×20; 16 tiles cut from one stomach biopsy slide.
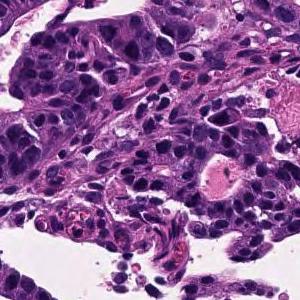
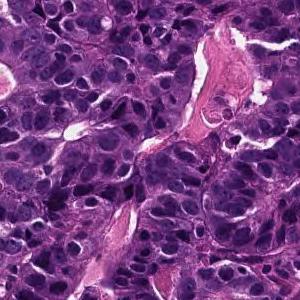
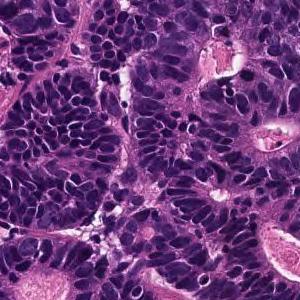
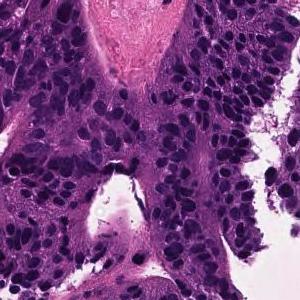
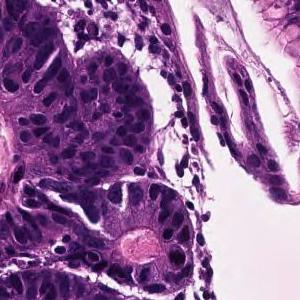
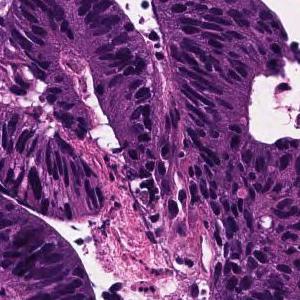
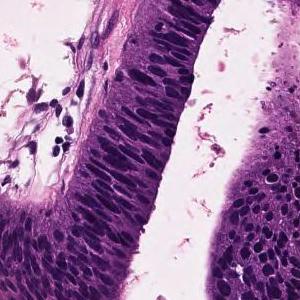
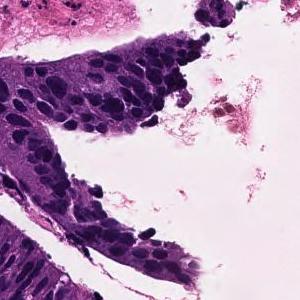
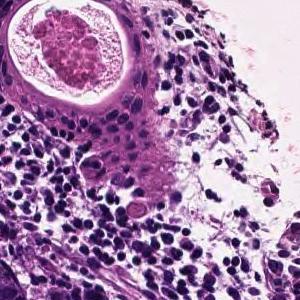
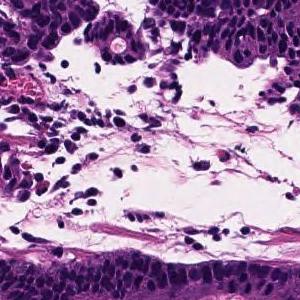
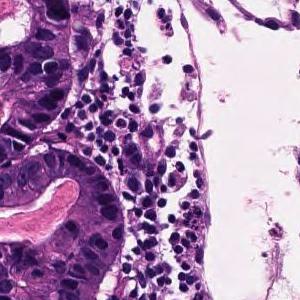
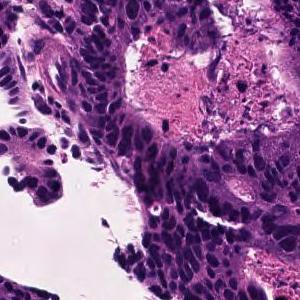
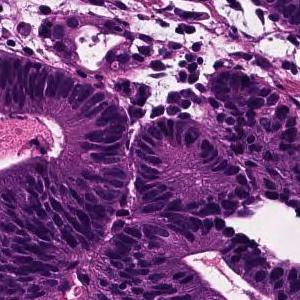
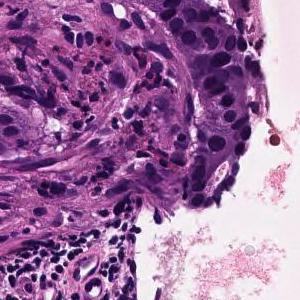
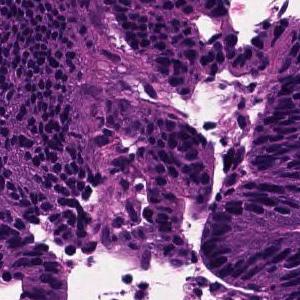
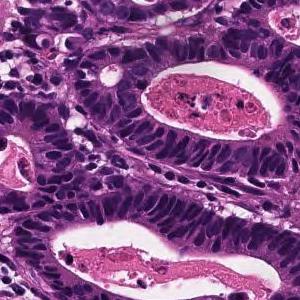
Diagnostic report for the slide these tiles come from. What the report and the diagnosis say applies to the whole slide; these tiles may miss some of the features named and may include tissue that is not tumor.
In the superficial epithelium, tumor tissue that invades by forming medium-sized to small, irregular ducts is observed. moderately differentiated tubular adenocarcinoma.
